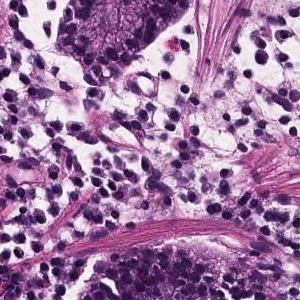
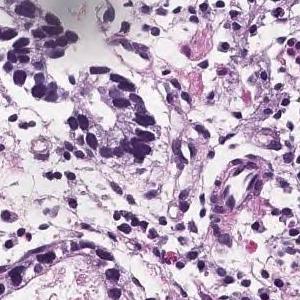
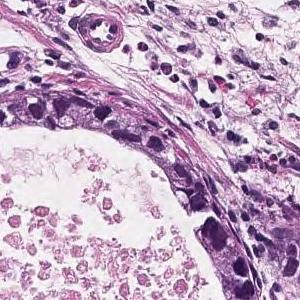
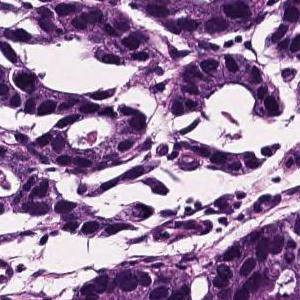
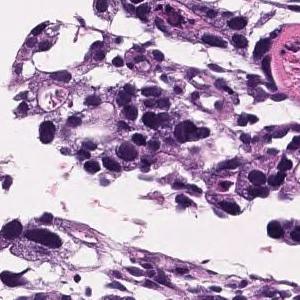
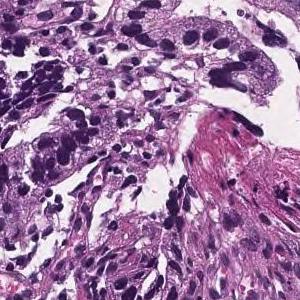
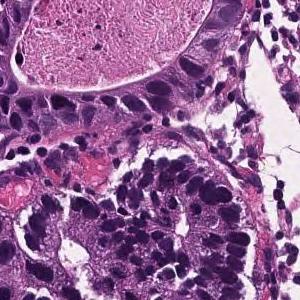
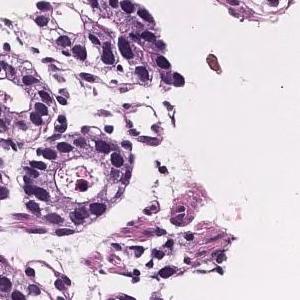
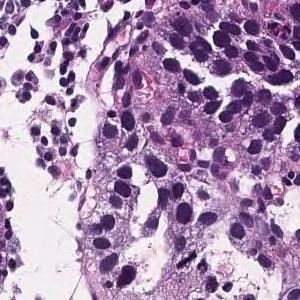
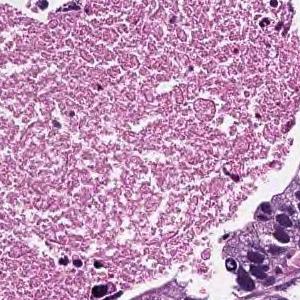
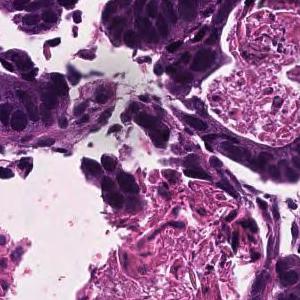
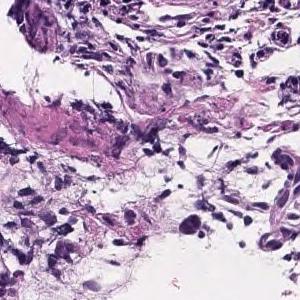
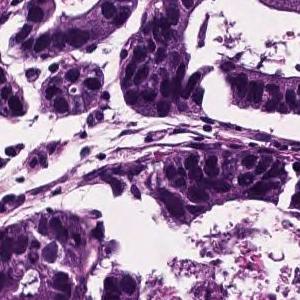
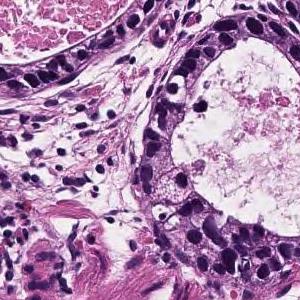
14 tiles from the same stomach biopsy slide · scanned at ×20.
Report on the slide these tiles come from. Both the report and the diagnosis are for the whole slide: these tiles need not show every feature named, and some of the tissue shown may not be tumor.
In the superficial epithelium, tumor tissue that invades by forming medium-sized to small, irregular ducts is observed. Well differentiated tubular adenocarcinoma.
